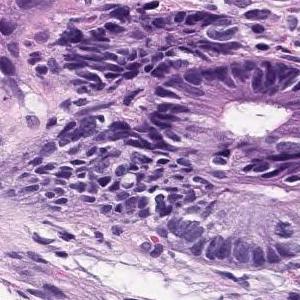
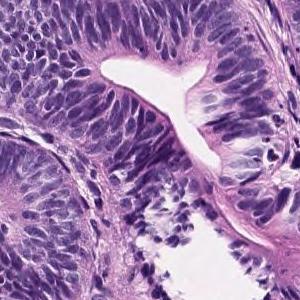
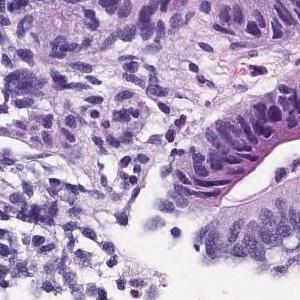
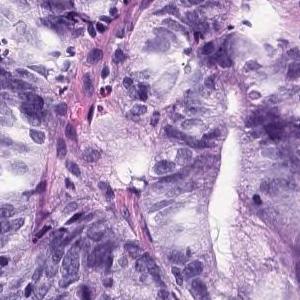
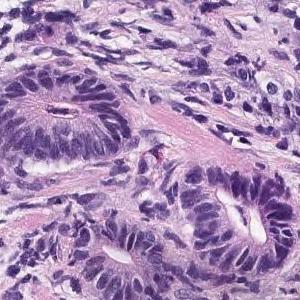
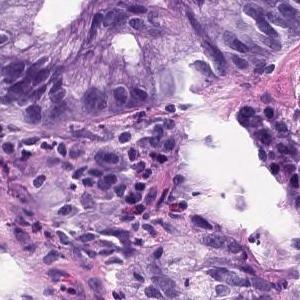
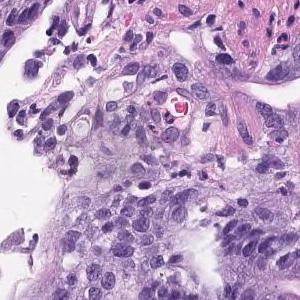
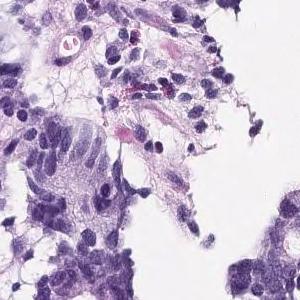
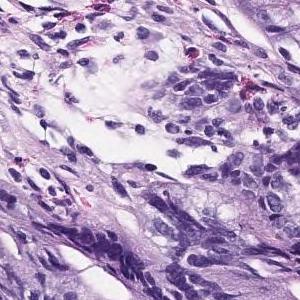
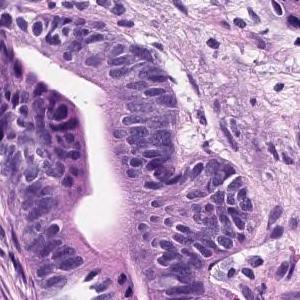
Hematoxylin and eosin stain, 20× magnification, 10 tiles cut from one stomach biopsy slide, each 300 × 300 pixels.
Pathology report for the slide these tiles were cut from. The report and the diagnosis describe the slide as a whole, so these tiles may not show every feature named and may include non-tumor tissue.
On the superficial epithelium, tumor tissue consisting of medium-sized to large-sized, round or irregular glandular duct growth images is observed. Well differentiated adenocarcinoma.
Subtype: Well differentiated tubular adenocarcinoma.
